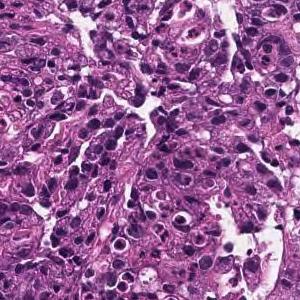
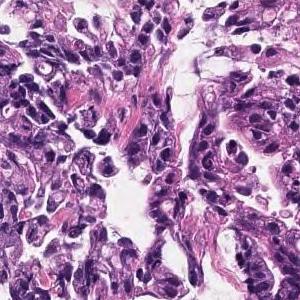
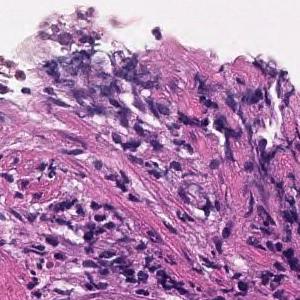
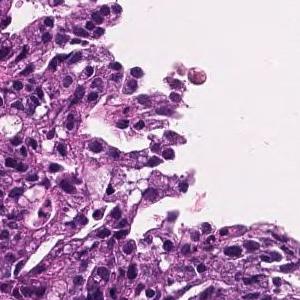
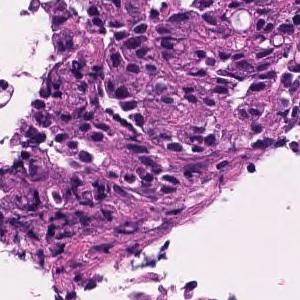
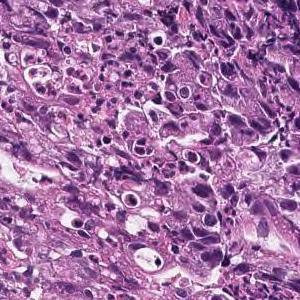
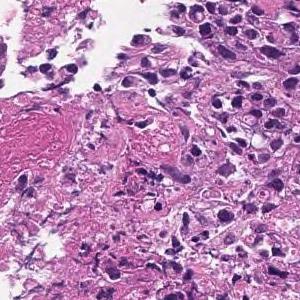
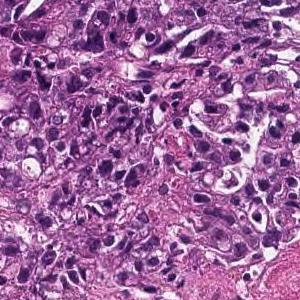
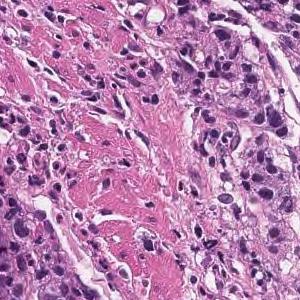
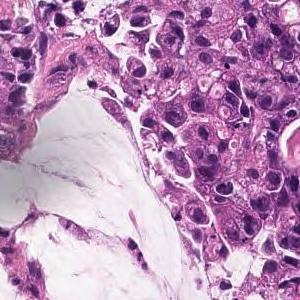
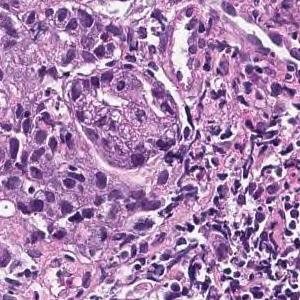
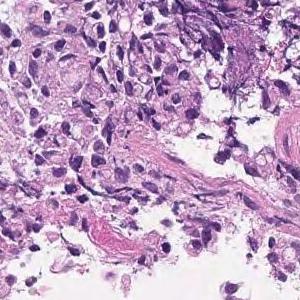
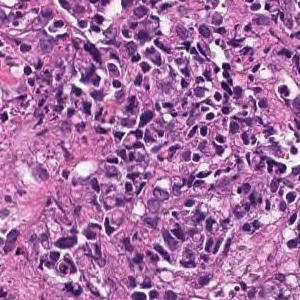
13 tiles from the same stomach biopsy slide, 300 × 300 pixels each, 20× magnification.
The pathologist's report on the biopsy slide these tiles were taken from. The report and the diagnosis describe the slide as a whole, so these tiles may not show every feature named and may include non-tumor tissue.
Medium to small, irregular glandular ducts are formed in the superficial epithelium, and in some cases, the glandular ducts are fused to show solid alveolar lesions and infiltrating tumor tissue is observed. Moderately to poorly differentiated adenocarcinoma.
